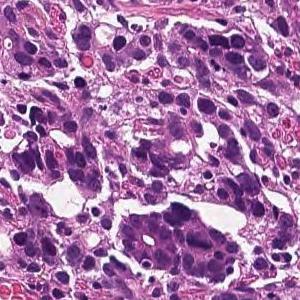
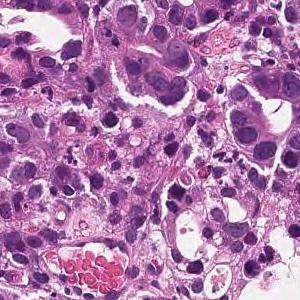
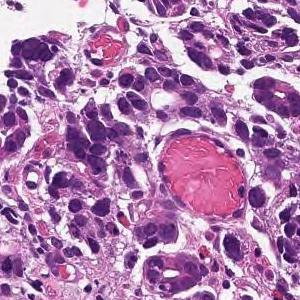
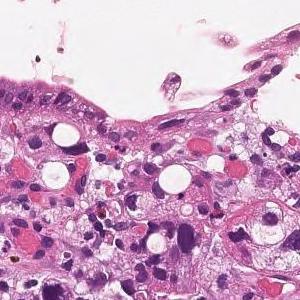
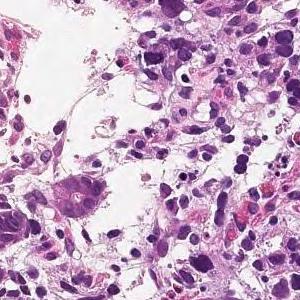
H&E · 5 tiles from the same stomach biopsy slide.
Diagnostic report for the slide these tiles come from. What the report and the diagnosis say applies to the whole slide; these tiles may miss some of the features named and may include tissue that is not tumor.
On the superficial epithelium, tumor tissue is found in which medium-sized irregular gland ducts fuse with each other and infiltrate. moderately differentiated tubular adenocarcinoma
